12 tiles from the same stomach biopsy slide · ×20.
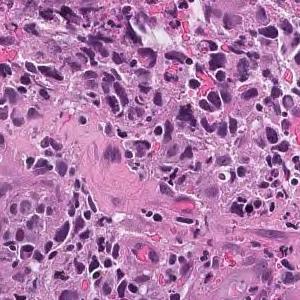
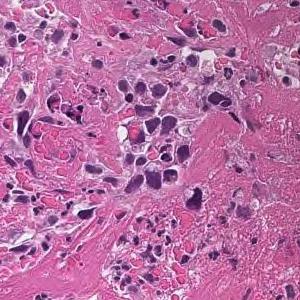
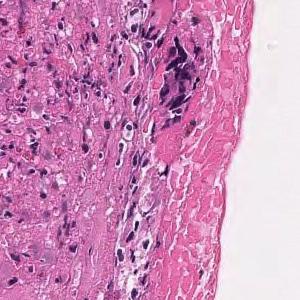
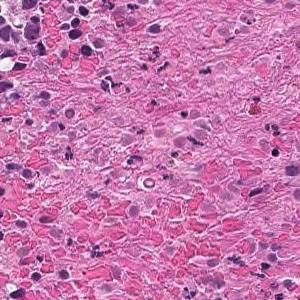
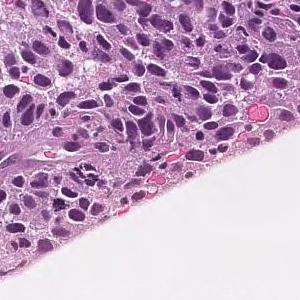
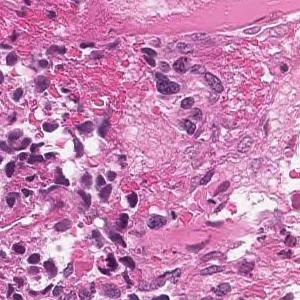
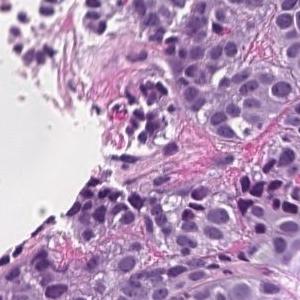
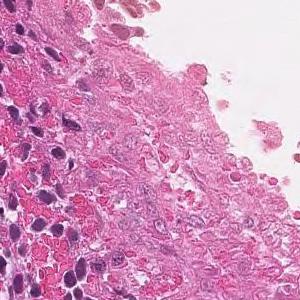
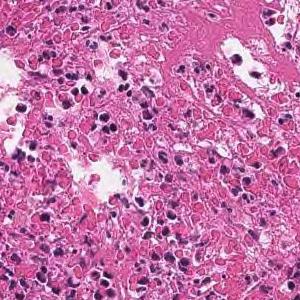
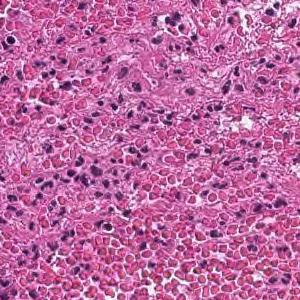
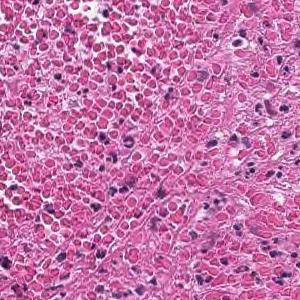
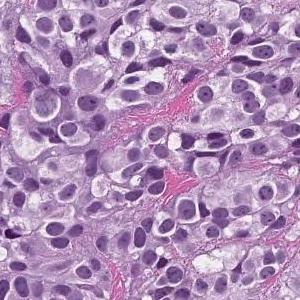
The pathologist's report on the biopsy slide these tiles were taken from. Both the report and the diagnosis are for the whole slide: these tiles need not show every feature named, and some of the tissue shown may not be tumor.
The superficial epithelium shows a large sheet-like shape, and some tumor tissue infiltrates with small irregular ducts. Poorly differentiated adenocarcinoma, solid-type
Histologic type: Poorly differentiated adenocarcinoma, solid type, a category of the Japanese Classification of Gastric Carcinoma; in the WHO 2019 classification it is tubular adenocarcinoma, poorly differentiated.
